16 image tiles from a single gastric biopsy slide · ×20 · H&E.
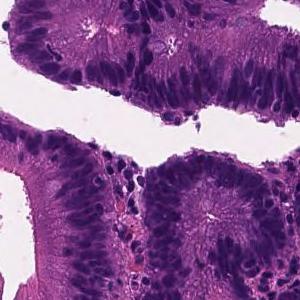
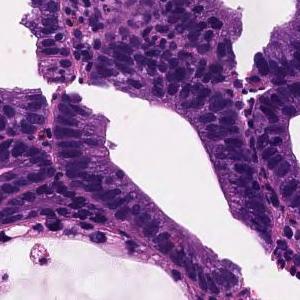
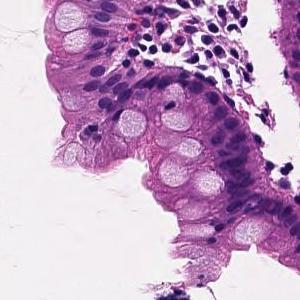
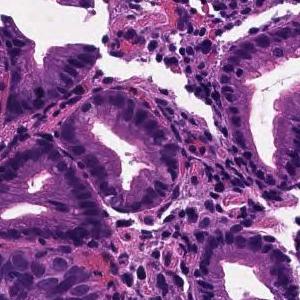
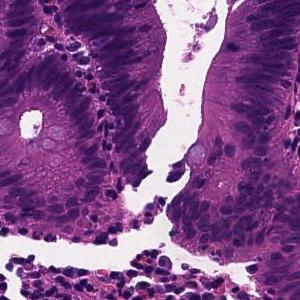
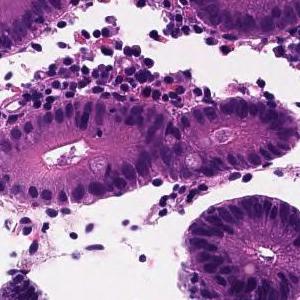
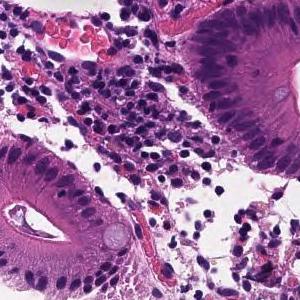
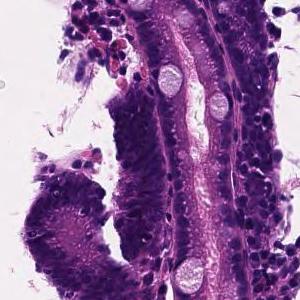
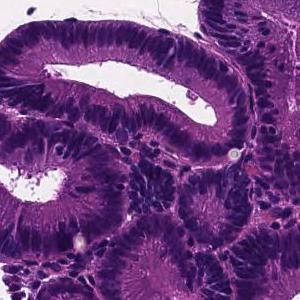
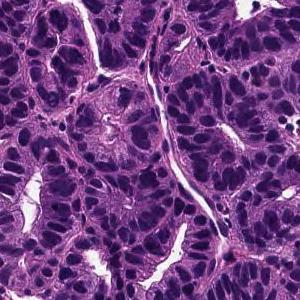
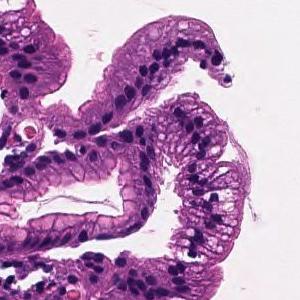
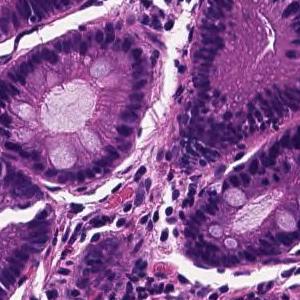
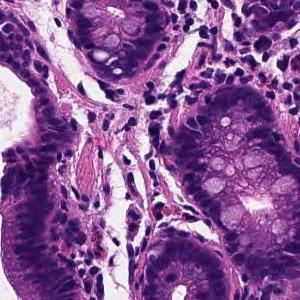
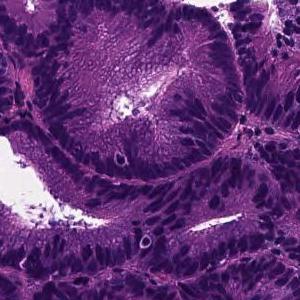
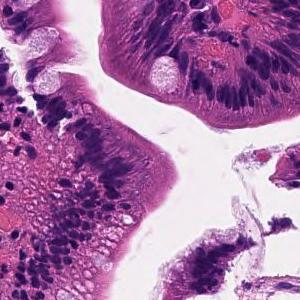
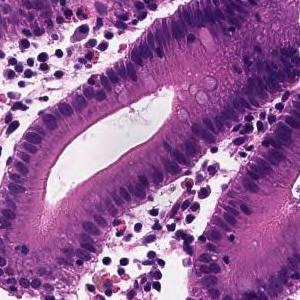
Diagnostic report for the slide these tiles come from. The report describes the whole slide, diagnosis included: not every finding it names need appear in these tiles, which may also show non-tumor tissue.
Tumor tissue in which medium to small irregular ducts infiltrate and proliferate in the submucosa can be seen in the epithelium. Well differentiated tubular adenocarcinoma
